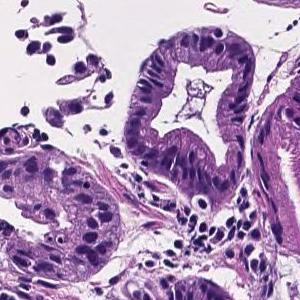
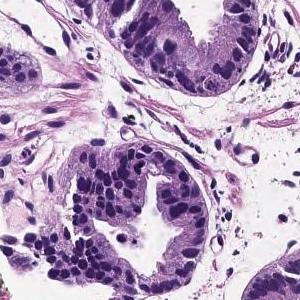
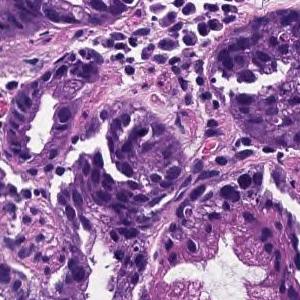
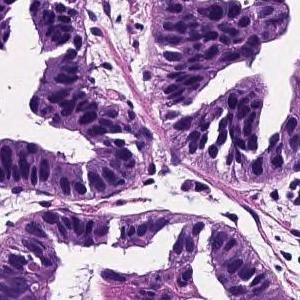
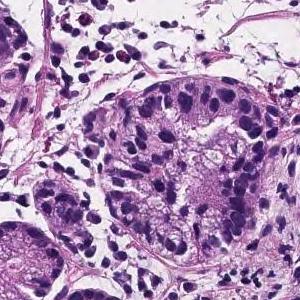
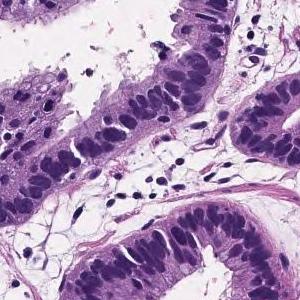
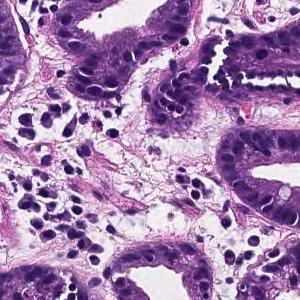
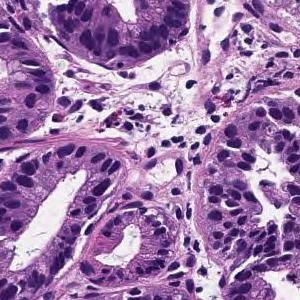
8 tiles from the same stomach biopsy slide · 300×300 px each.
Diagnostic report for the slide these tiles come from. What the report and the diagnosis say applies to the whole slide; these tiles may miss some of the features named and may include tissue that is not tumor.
Tumor cells are large, highly columnar, large club-shaped nuclei, and are associated with chromatin aggregation. Papillary adenocarcinoma.
